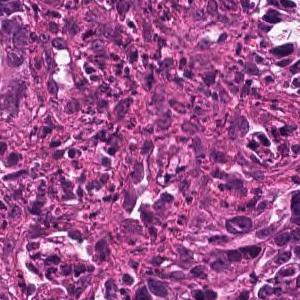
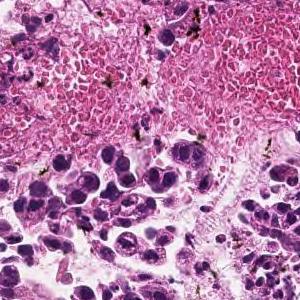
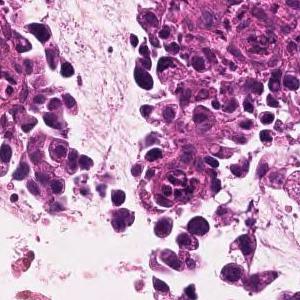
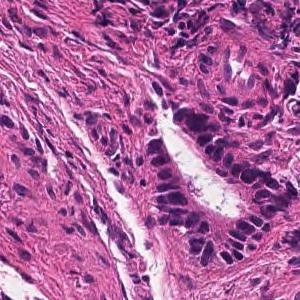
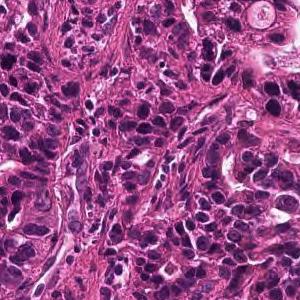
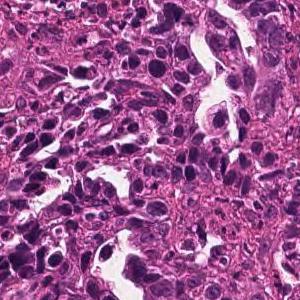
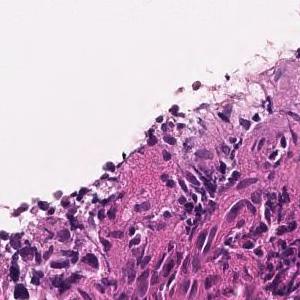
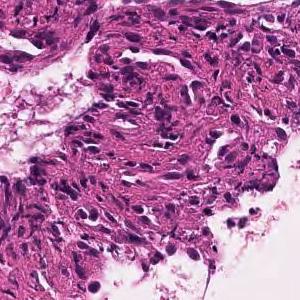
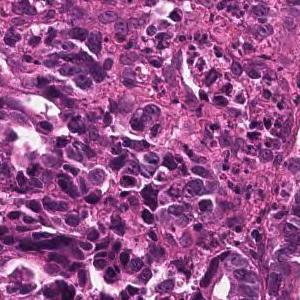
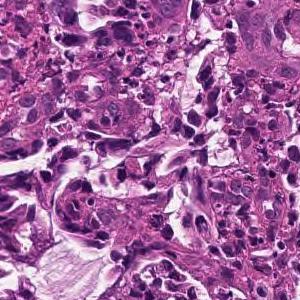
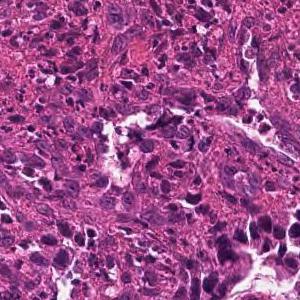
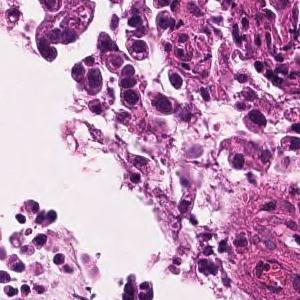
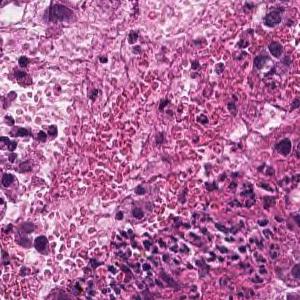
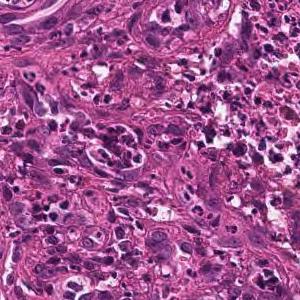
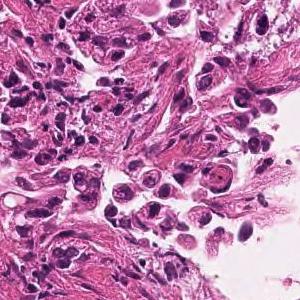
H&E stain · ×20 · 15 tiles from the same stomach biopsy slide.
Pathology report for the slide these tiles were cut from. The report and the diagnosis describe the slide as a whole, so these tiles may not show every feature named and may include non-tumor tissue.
In the superficial epithelium, tumor tissue that invades by forming medium-sized to small, irregular ducts is observed. moderately differentiated tubular adenocarcinoma.
